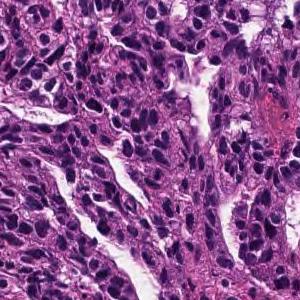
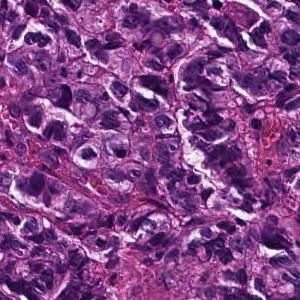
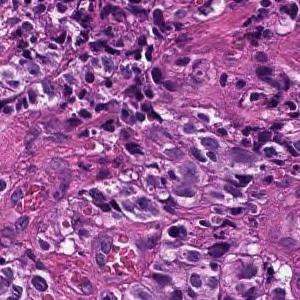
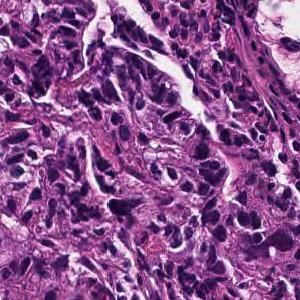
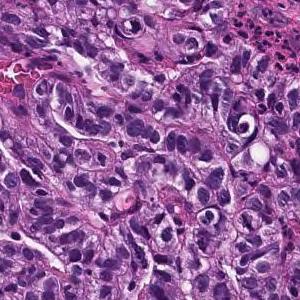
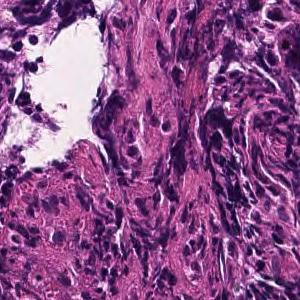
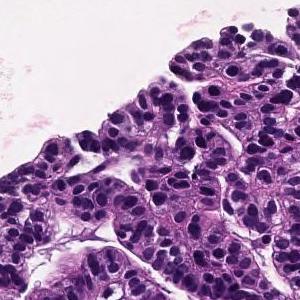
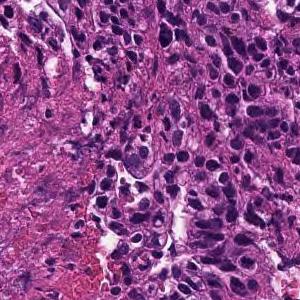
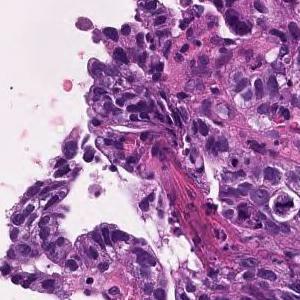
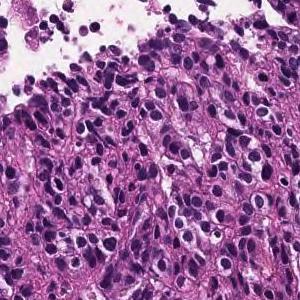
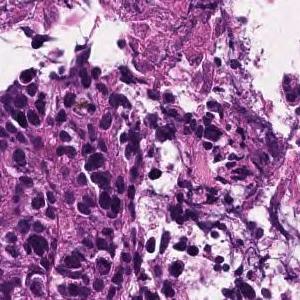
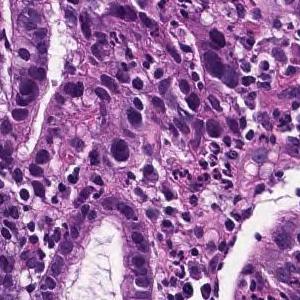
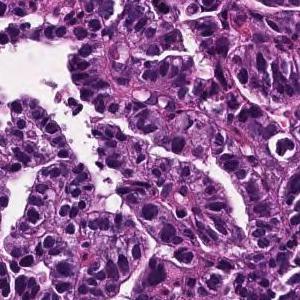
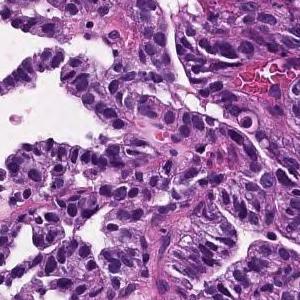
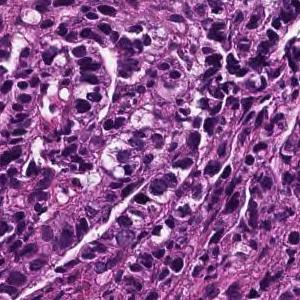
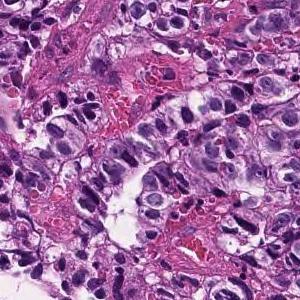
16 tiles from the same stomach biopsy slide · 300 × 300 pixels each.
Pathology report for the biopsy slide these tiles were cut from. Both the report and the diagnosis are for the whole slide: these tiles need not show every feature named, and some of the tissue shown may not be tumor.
In the superficial epithelium, tumor tissue that invades by forming medium-sized to small, irregular ducts is observed. moderately differentiated tubular adenocarcinoma.
